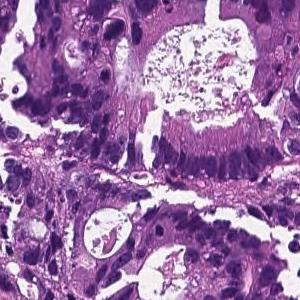
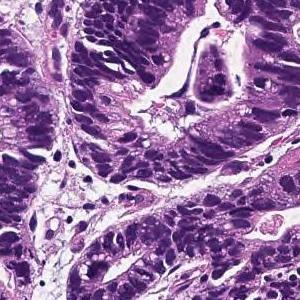
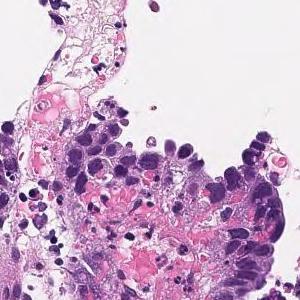
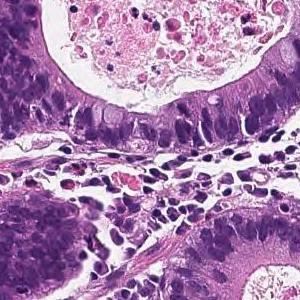
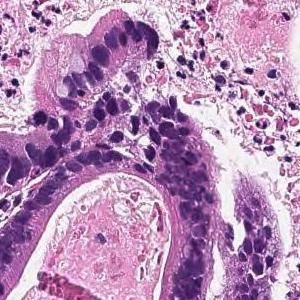
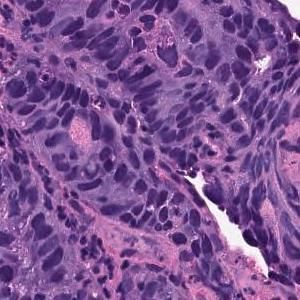
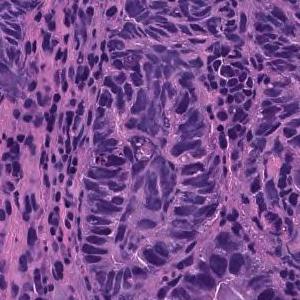
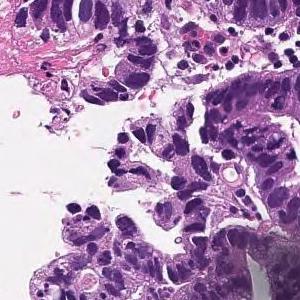
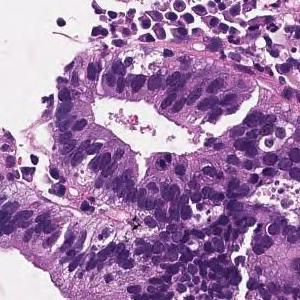
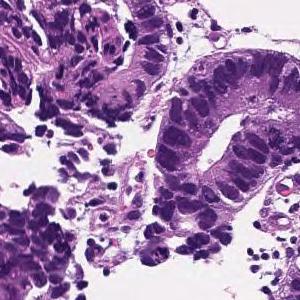
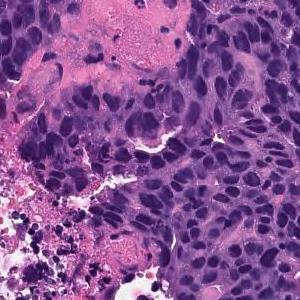
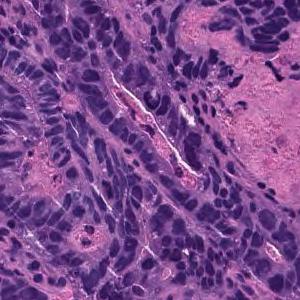
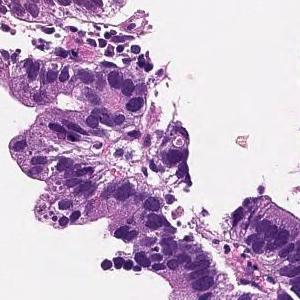
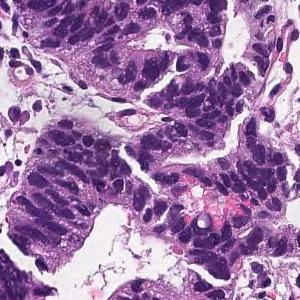
H&E stain · 14 patches cut from one gastric biopsy slide.
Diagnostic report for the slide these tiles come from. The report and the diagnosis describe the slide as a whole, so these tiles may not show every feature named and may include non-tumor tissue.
In the superficial epithelium, tumor tissue that invades by forming medium-sized to small, irregular ducts is observed. moderately differentiated tubular adenocarcinoma.
